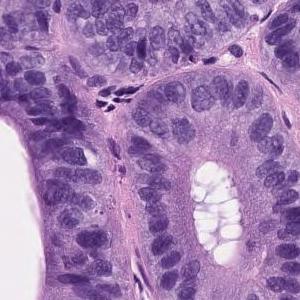
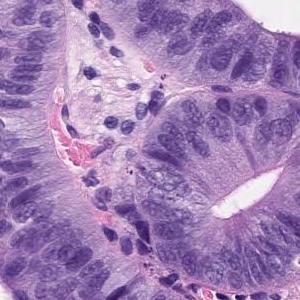
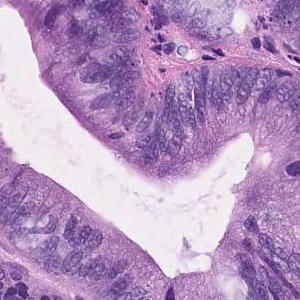
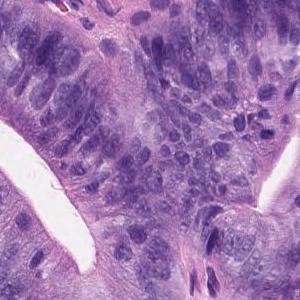
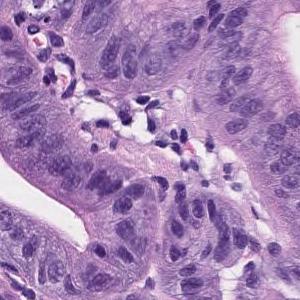
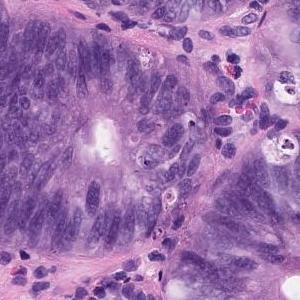
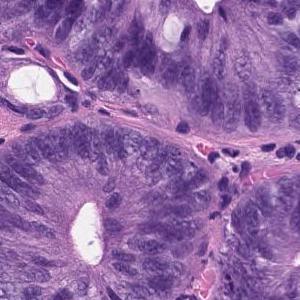
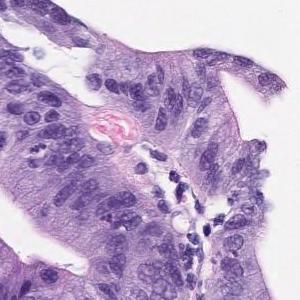
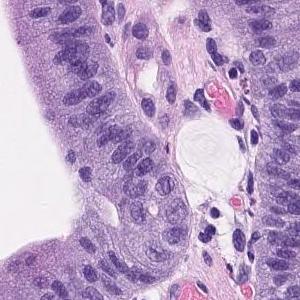
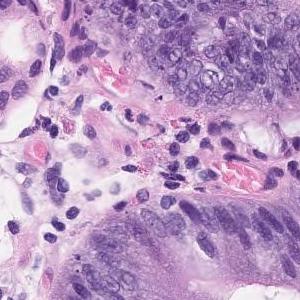
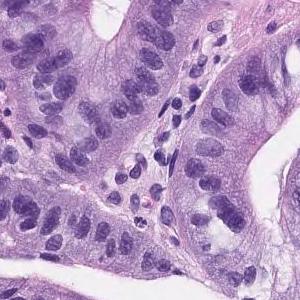
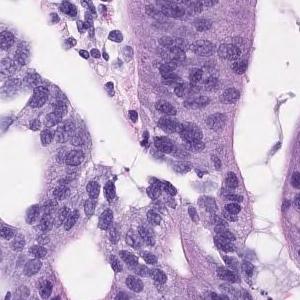
12 tiles from the same stomach biopsy slide; each 300 × 300 pixels; H&E.
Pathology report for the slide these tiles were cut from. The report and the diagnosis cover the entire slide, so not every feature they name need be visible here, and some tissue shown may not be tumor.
On the superficial epithelium, tumor tissue consisting of images of atypical ducts of different sizes partially fused and densely proliferating is observed. Well differentiated tubular adenocarcinoma
